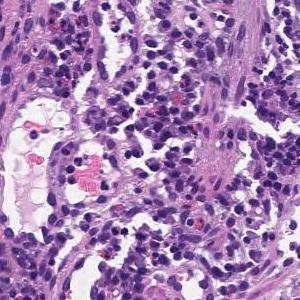
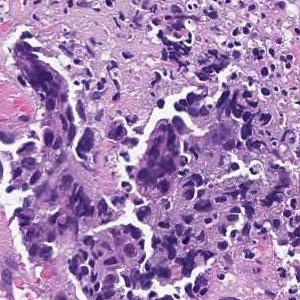
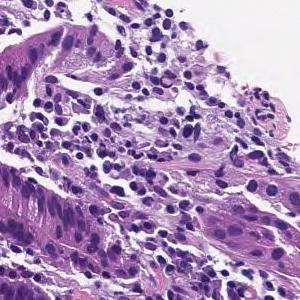
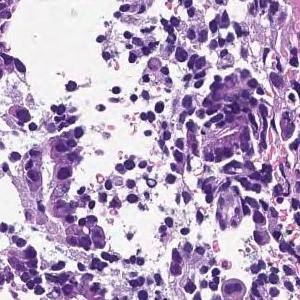
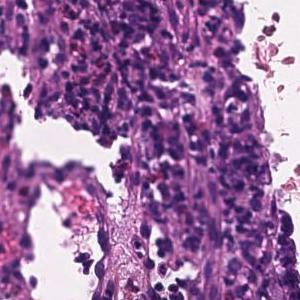
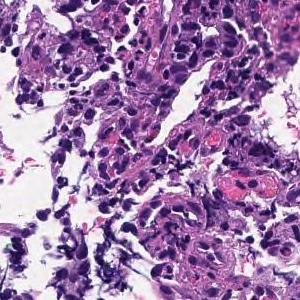
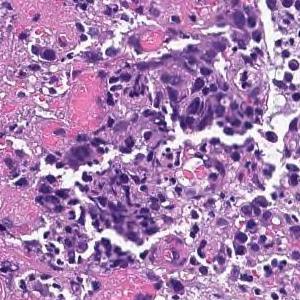
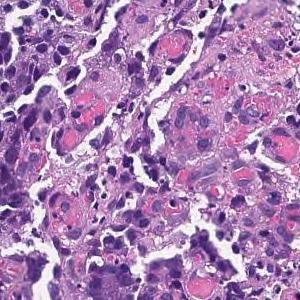
8 image tiles from a single gastric biopsy slide; 300 × 300 pixels each; H&E stain; 20× magnification.
Pathology report for the biopsy slide these tiles were cut from. What the report and the diagnosis say applies to the whole slide; these tiles may miss some of the features named and may include tissue that is not tumor.
On the superficial epithelium, tumor tissue consisting of large irregular glandular ducts partially fused and infiltrated is observed. Well to moderately differentiated tubular adenocarcinoma (well differentiated tubular adenocarcinoma, moderately differentiated tubular adenocarcinoma)
Classified as well to moderately differentiated tubular adenocarcinoma.
